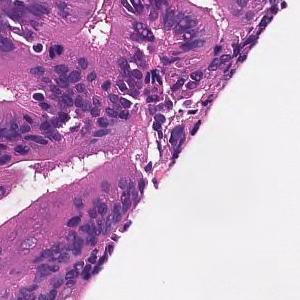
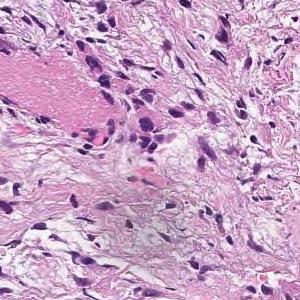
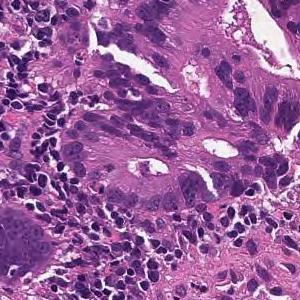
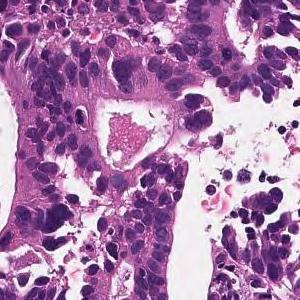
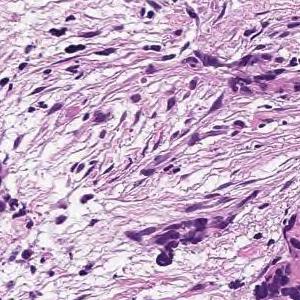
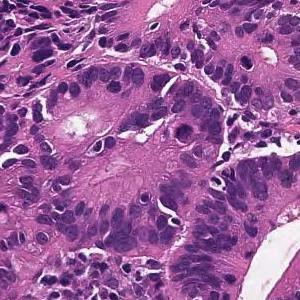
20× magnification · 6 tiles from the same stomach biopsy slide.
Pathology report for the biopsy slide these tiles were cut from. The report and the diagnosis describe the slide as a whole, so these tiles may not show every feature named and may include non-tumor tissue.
From the superficial epithelium to the muscularis mucosae, tumor tissue consisting of medium-sized and irregular glandular ducts infiltrating is observed. Well differentiated tubular adenocarcinoma
